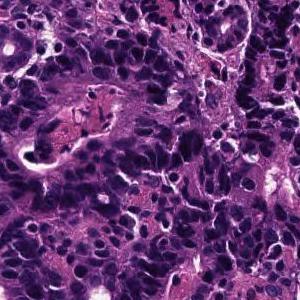
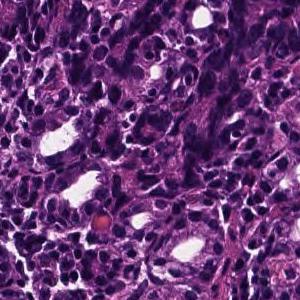
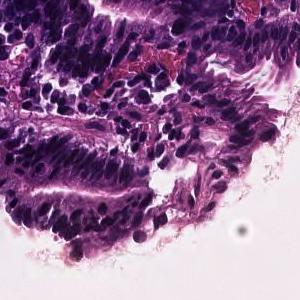
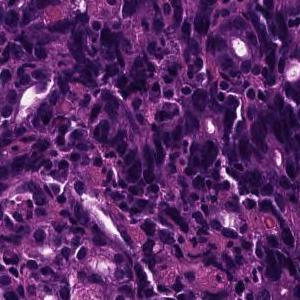
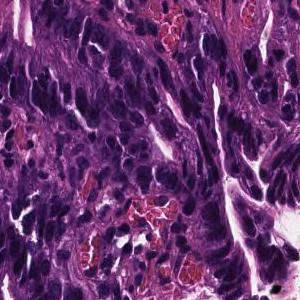
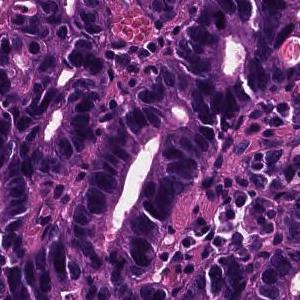
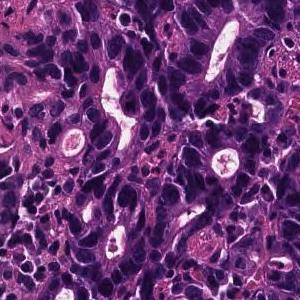
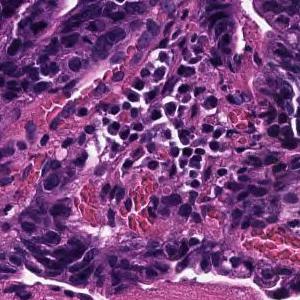
8 tiles cut from one stomach biopsy slide, each 300 × 300 pixels.
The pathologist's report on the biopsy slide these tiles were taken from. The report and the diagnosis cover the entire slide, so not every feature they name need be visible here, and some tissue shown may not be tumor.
On the superficial epithelium, tumor tissue consisting of large, irregular glandular ducts partially fused and infiltrated is observed. Well to moderately differentiated tubular adenocarcinoma (well differentiated tubular adenocarcinoma, moderately differentiated tubular adenocarcinoma)
Classified as well to moderately differentiated tubular adenocarcinoma.
